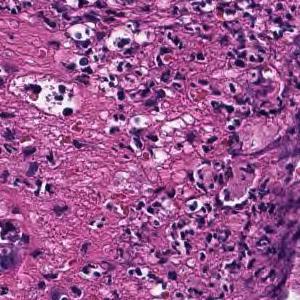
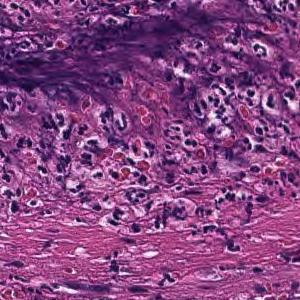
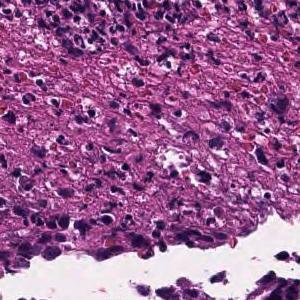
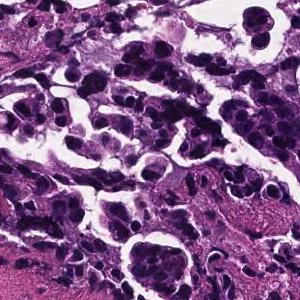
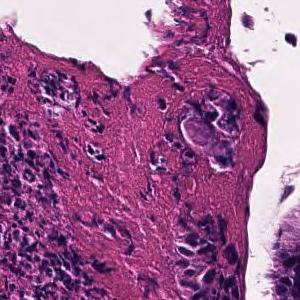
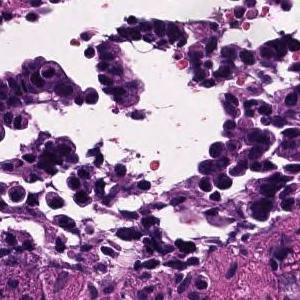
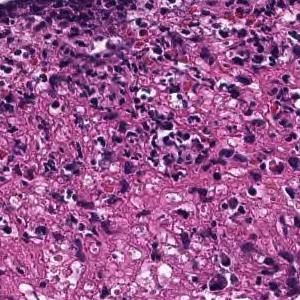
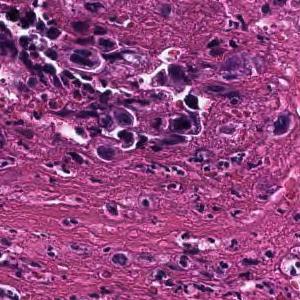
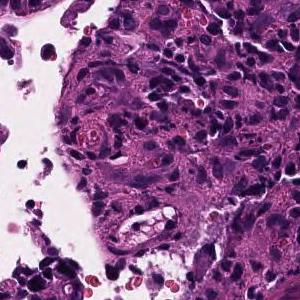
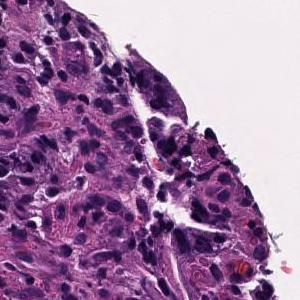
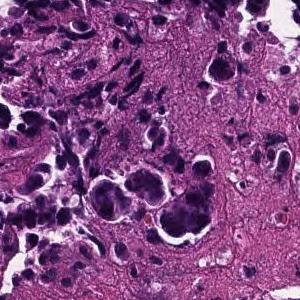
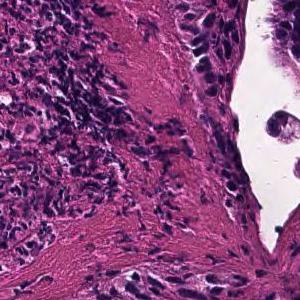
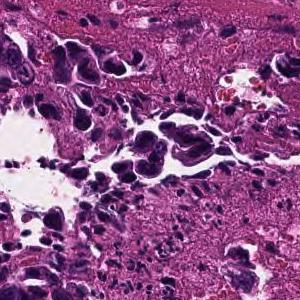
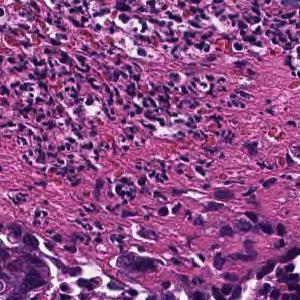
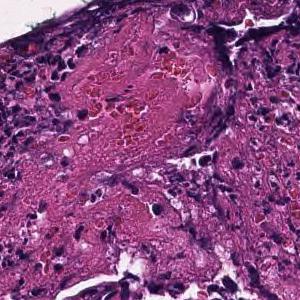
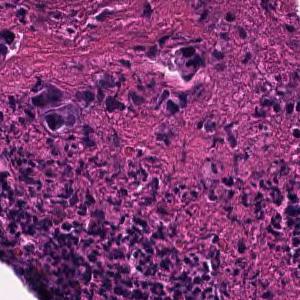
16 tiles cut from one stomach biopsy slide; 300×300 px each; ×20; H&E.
Diagnostic report for the slide these tiles come from. The findings and the diagnosis refer to the entire slide; these tiles show only part of it, possibly with non-tumor tissue, and may not show every feature named.
Tumor tissue consisting of cord-like or small, irregular glandular ducts fused and infiltrated is observed in the superficial epithelium. Poorly differentiated adenocarcinoma, non-solid type
The non-solid type named here is a Japanese Classification of Gastric Carcinoma category.
